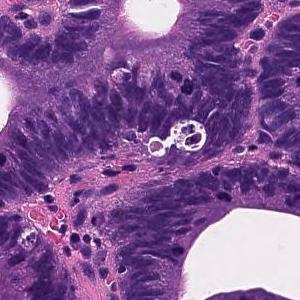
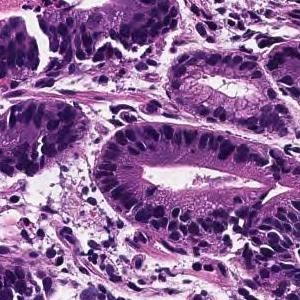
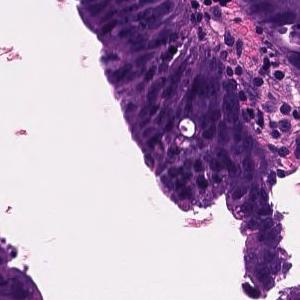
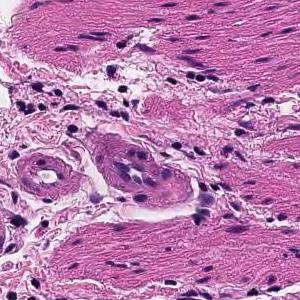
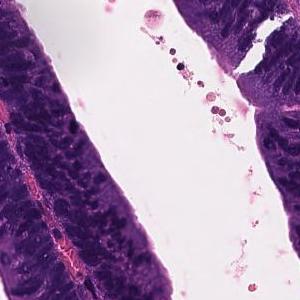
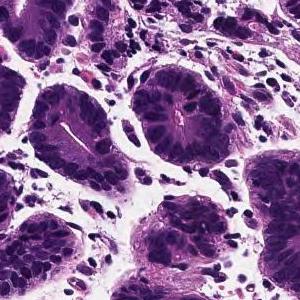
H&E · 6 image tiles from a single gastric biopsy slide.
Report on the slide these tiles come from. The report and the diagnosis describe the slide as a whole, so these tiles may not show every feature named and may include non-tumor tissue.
Tumor tissue consisting of large papillary structures is found in the superficial epithelium. Papillary adenocarcinoma.
